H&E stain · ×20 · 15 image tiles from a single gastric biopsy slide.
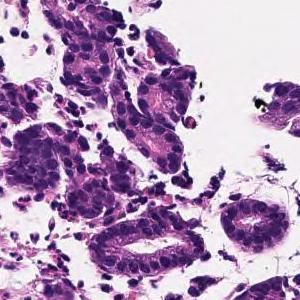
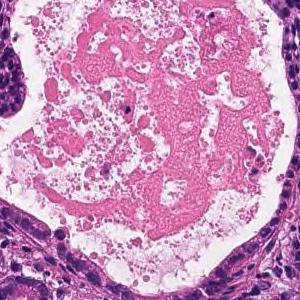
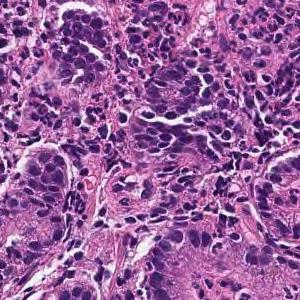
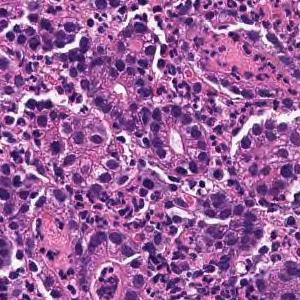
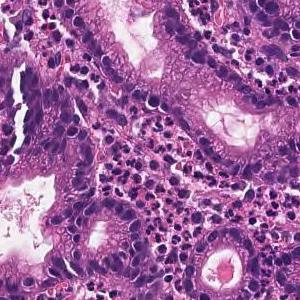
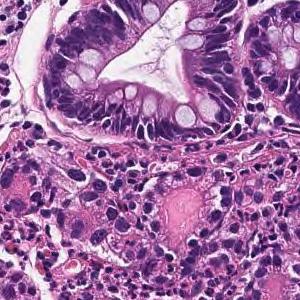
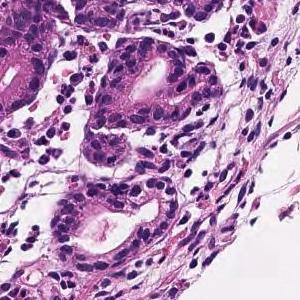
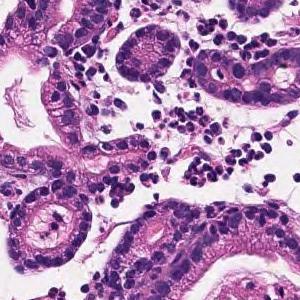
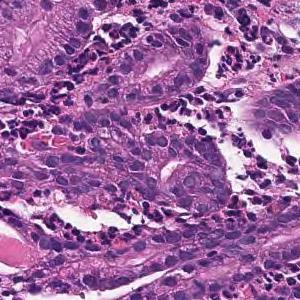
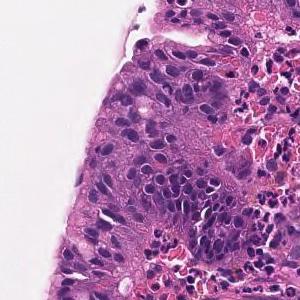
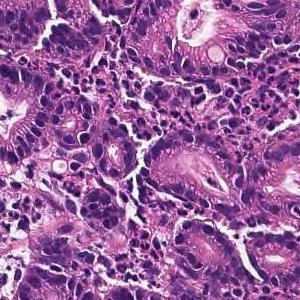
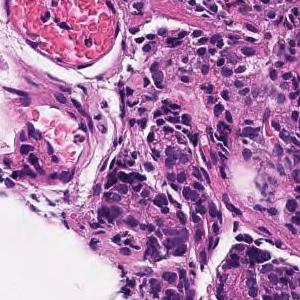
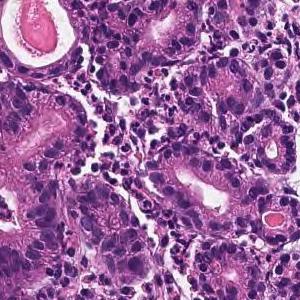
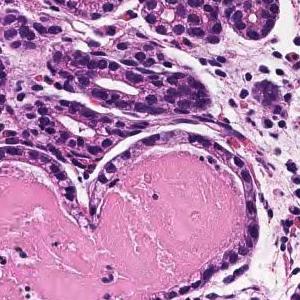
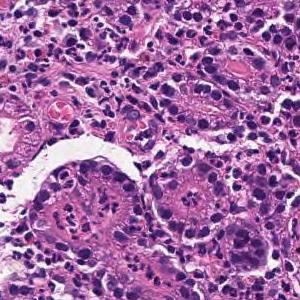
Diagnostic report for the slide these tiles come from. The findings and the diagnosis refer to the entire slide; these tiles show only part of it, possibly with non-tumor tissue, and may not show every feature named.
Tumor tissue infiltrated and proliferated with small to medium-sized irregular tubules is observed in the superficial epithelium. Well differentiated tubular adenocarcinoma
